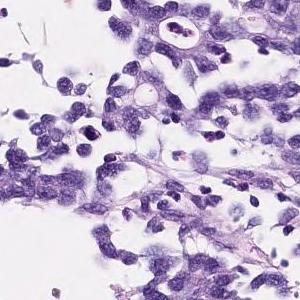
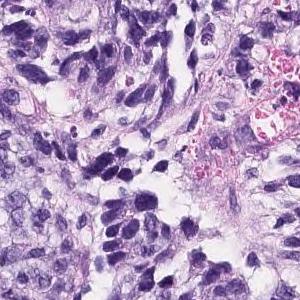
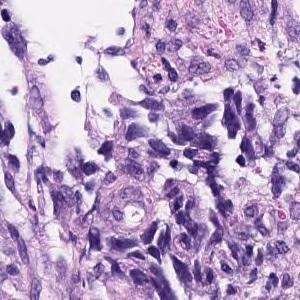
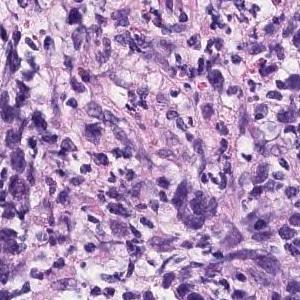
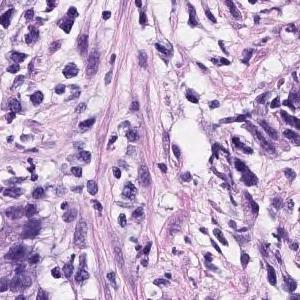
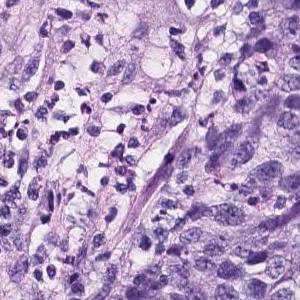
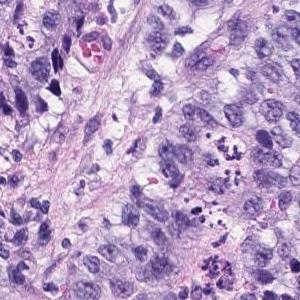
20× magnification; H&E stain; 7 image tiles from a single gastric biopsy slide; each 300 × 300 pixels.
Pathology report for the biopsy slide these tiles were cut from. The report describes the whole slide, diagnosis included: not every finding it names need appear in these tiles, which may also show non-tumor tissue.
The superficial epithelium shows a large sheet-like shape, and some tumor tissue infiltrates with small irregular ducts. Poorly differentiated adenocarcinoma, solid-type
Tumor subtype: poorly differentiated adenocarcinoma, solid type (Japanese Classification of Gastric Carcinoma). The WHO 2019 equivalent is tubular adenocarcinoma, poorly differentiated.
